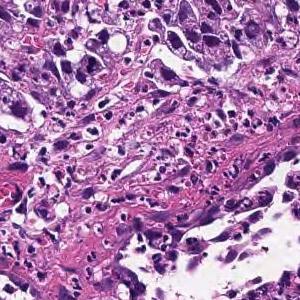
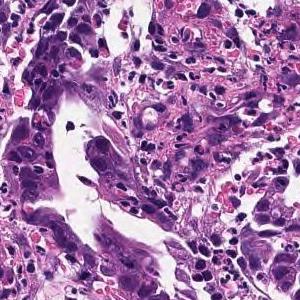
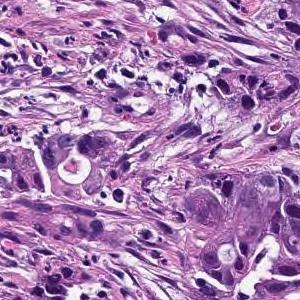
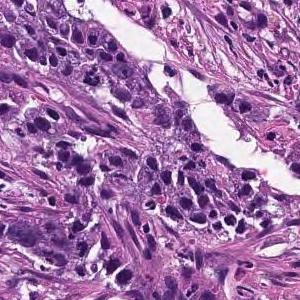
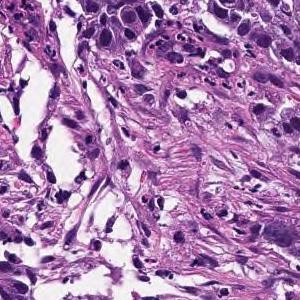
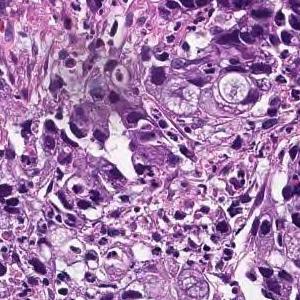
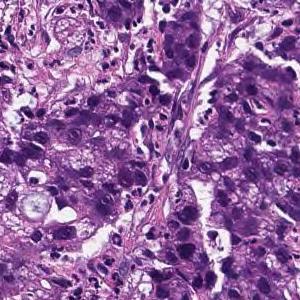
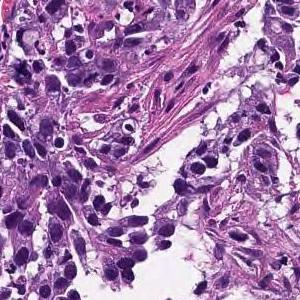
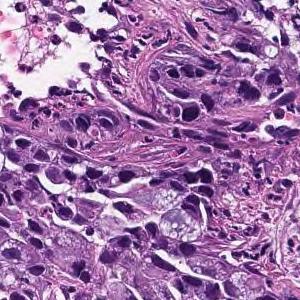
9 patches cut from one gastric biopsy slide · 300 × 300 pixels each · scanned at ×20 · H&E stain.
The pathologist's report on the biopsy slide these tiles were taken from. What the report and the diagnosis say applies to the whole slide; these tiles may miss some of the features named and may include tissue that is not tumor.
Medium to small, irregular glandular ducts are formed in the superficial epithelium, and in some cases, the glandular ducts are fused to show solid alveolar lesions and infiltrating tumor tissue is observed. Moderately to poorly differentiated adenocarcinoma.
